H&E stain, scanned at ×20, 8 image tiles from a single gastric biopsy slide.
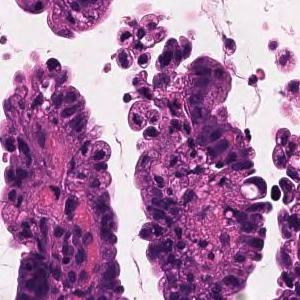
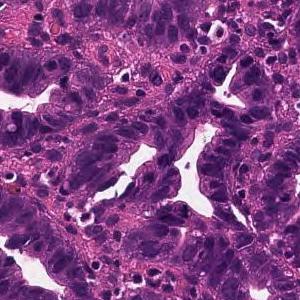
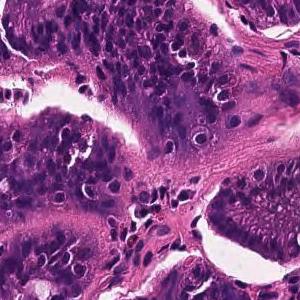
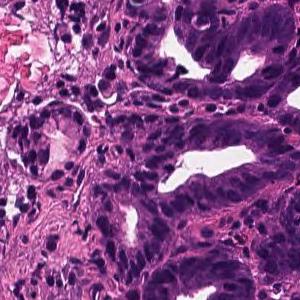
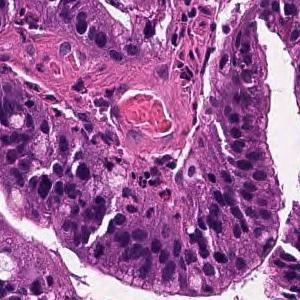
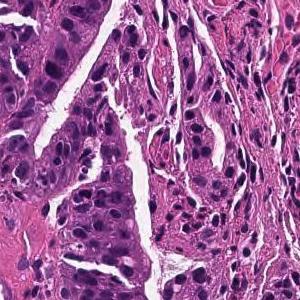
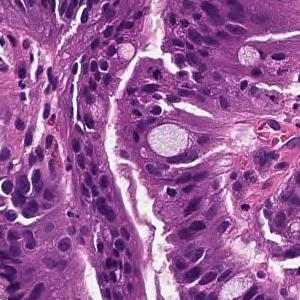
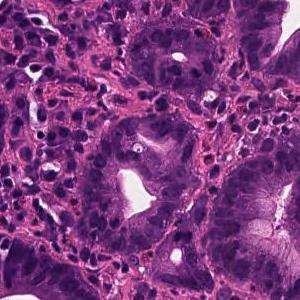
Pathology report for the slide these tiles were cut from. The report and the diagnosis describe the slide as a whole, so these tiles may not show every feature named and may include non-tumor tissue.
On the superficial epithelium, tumor tissue that infiltrates by forming medium-sized papillary or small irregular ducts is observed. Papillary adenocarcinoma
